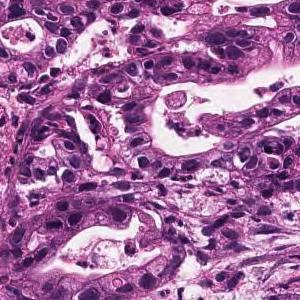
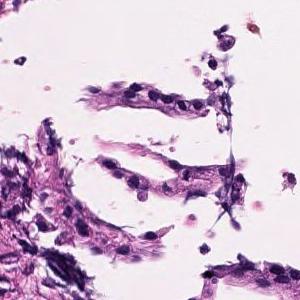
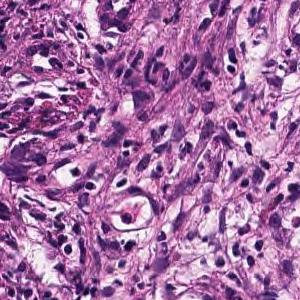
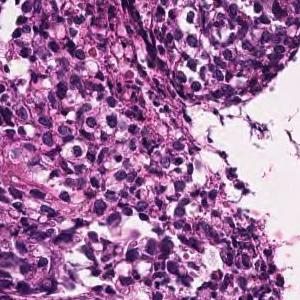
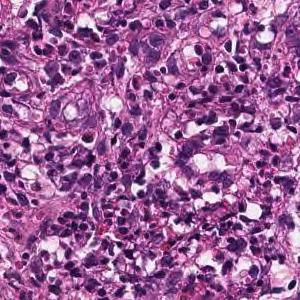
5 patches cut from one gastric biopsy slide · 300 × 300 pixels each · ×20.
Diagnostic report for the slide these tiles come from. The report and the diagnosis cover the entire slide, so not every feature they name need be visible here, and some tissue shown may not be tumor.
In the superficial epithelium, medium to small, irregular gland ducts are formed, and in some cases, the gland ducts are fused to show solid alveolar lesions and infiltrating tumor tissue is observed. Moderately to poorly differentiated adenocarcinoma.
